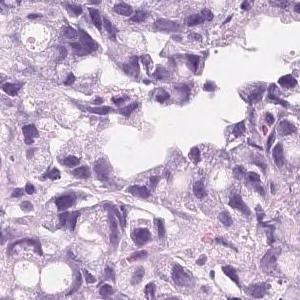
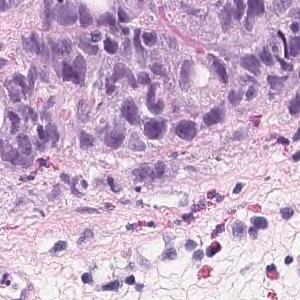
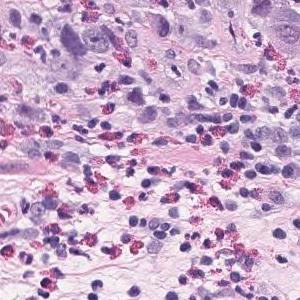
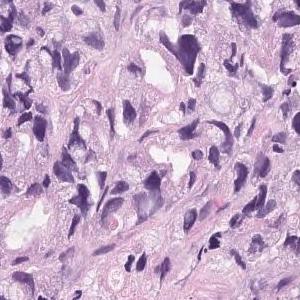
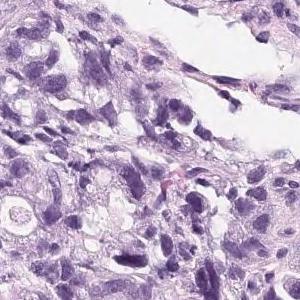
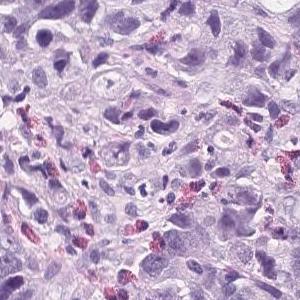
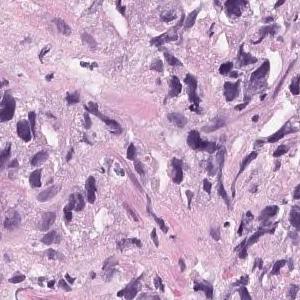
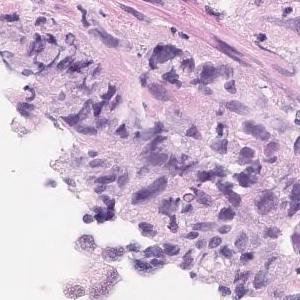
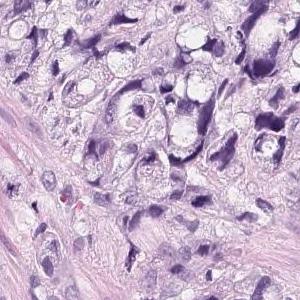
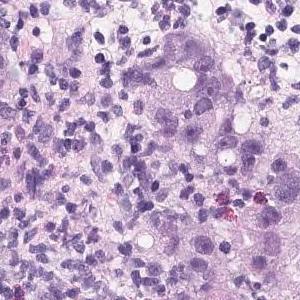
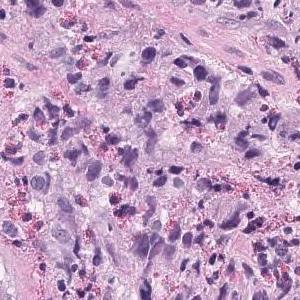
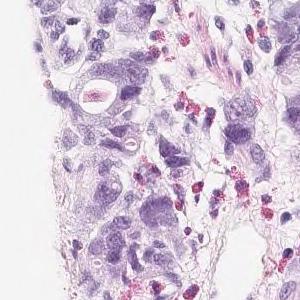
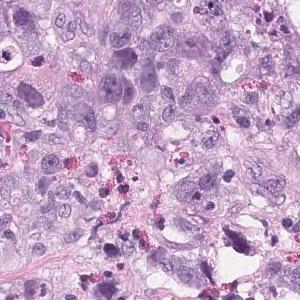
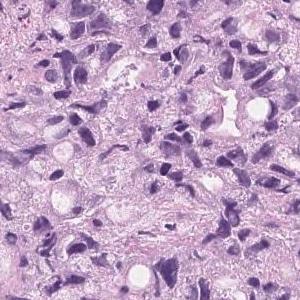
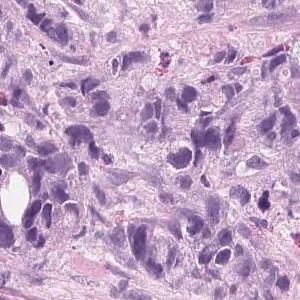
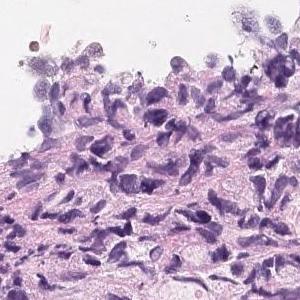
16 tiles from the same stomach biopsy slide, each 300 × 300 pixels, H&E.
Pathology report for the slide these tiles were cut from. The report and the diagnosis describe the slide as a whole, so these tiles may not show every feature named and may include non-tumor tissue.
Tumor tissue that infiltrates and proliferates by forming small glandular cavities in the superficial layer to the submucosa or forming a mass is observed. moderately differentiated tubular adenocarcinoma
